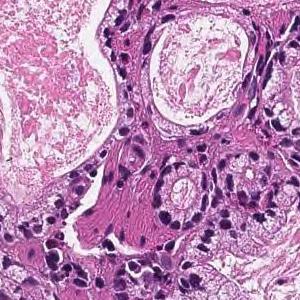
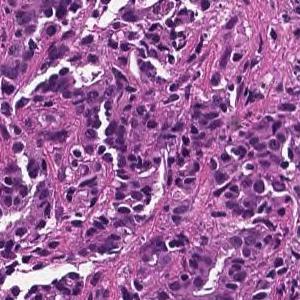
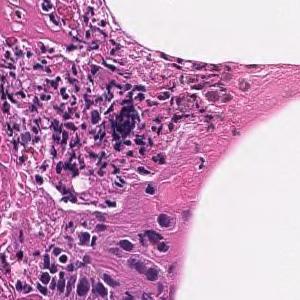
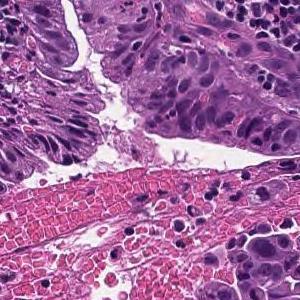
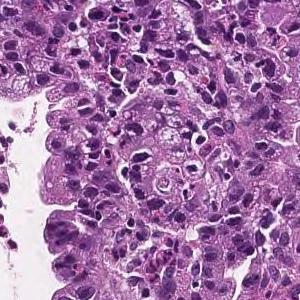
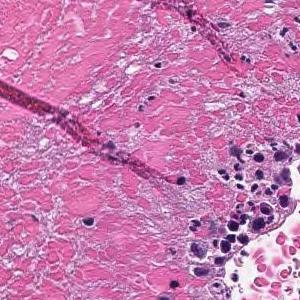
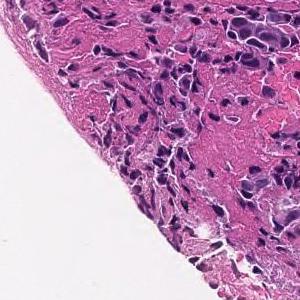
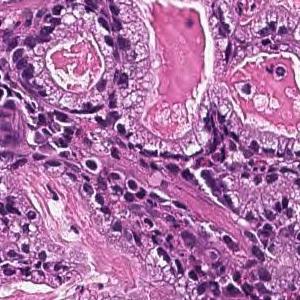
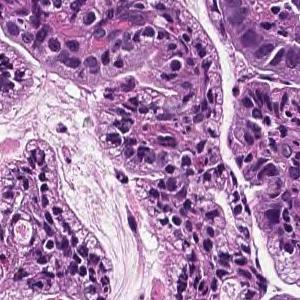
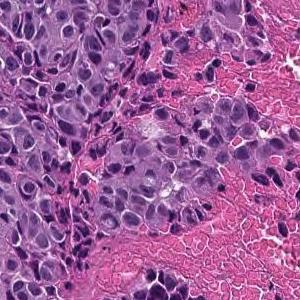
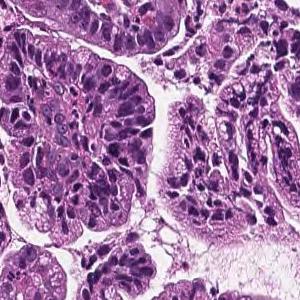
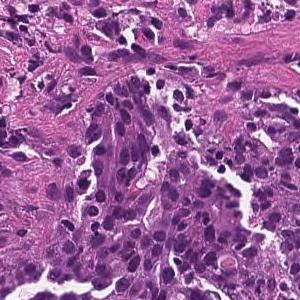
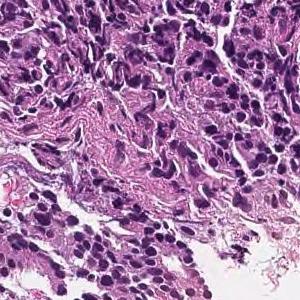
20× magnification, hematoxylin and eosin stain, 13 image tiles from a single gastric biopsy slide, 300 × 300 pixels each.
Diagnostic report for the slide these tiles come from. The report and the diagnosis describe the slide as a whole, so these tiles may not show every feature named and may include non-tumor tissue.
On the superficial epithelium, tumor tissue that infiltrates by forming medium-sized papillary or small irregular ducts is observed. Papillary adenocarcinoma
